Hematoxylin and eosin stain · ×20 · 10 patches cut from one gastric biopsy slide.
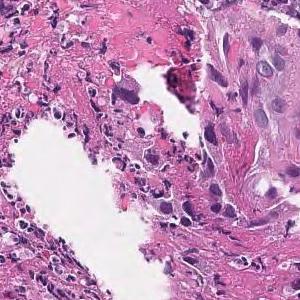
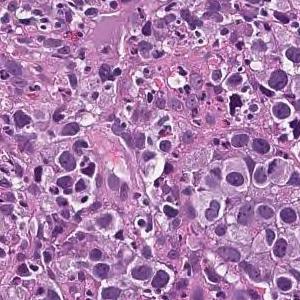
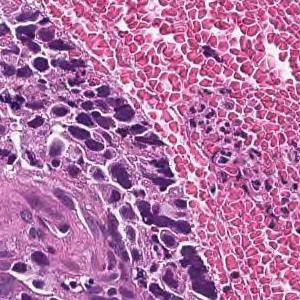
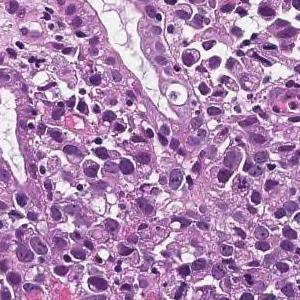
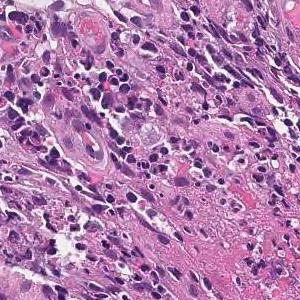
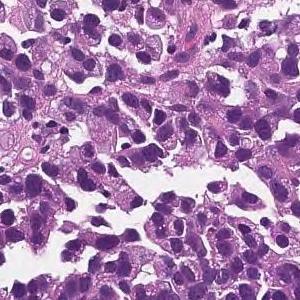
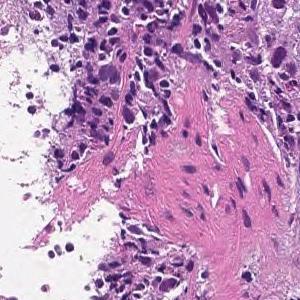
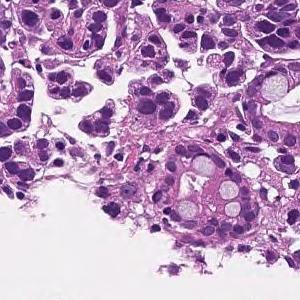
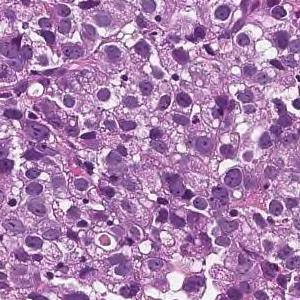
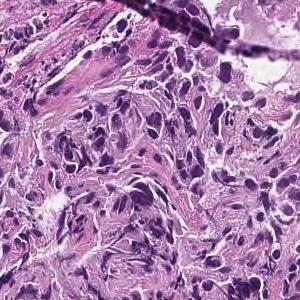
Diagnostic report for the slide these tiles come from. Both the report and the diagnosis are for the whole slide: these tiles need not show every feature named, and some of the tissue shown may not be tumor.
The superficial epithelium shows a large sheet-like shape, and some tumor tissue infiltrates with small irregular ducts. Poorly differentiated adenocarcinoma, solid-type
Classified as poorly differentiated adenocarcinoma, solid type, a category of the Japanese Classification of Gastric Carcinoma; in the WHO 2019 classification it is tubular adenocarcinoma, poorly differentiated.
